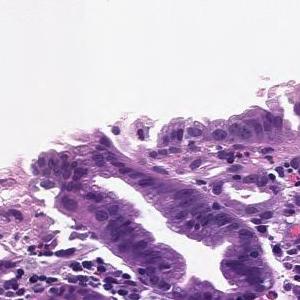
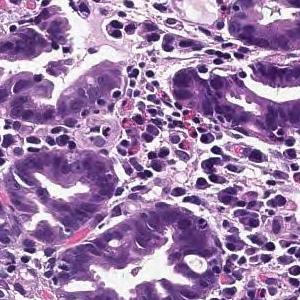
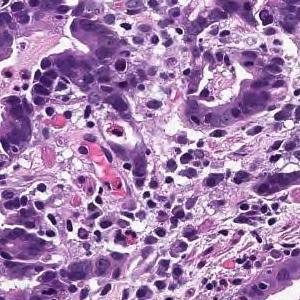
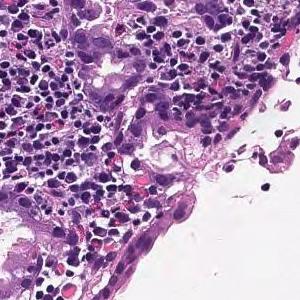
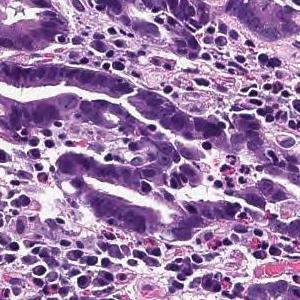
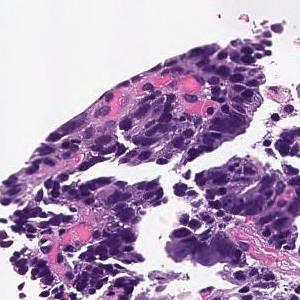
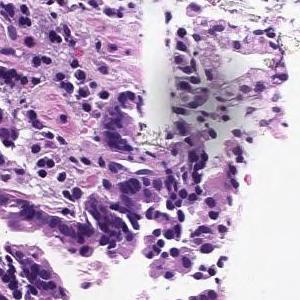
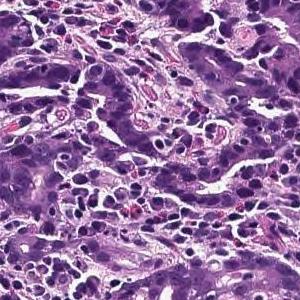
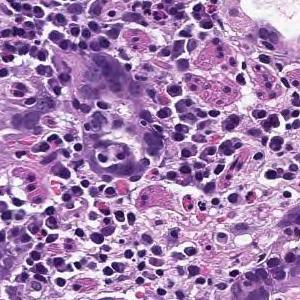
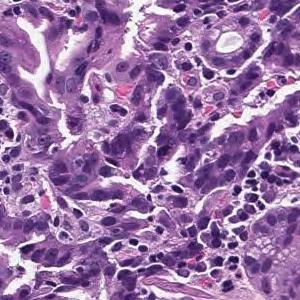
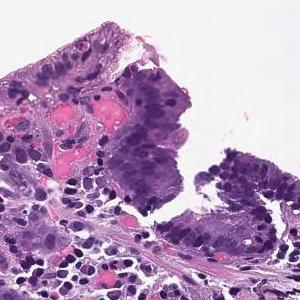
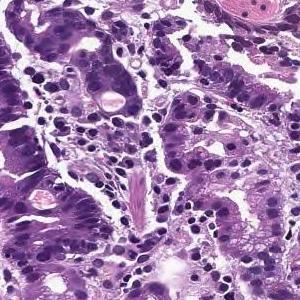
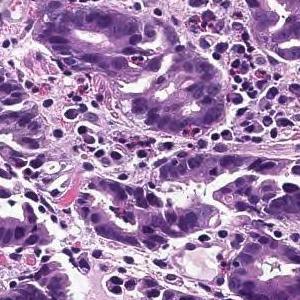
13 image tiles from a single gastric biopsy slide; each 300 × 300 pixels; 20× magnification; hematoxylin and eosin stain.
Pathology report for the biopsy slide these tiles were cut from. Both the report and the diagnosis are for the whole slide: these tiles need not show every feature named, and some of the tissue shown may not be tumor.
In the superficial epithelium, tumor tissue that invades by forming medium-sized to small, irregular ducts is observed. moderately differentiated tubular adenocarcinoma.
